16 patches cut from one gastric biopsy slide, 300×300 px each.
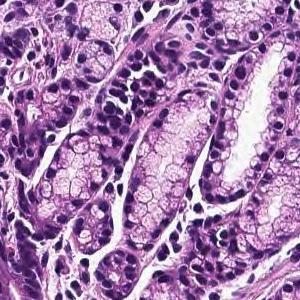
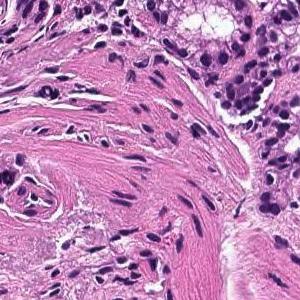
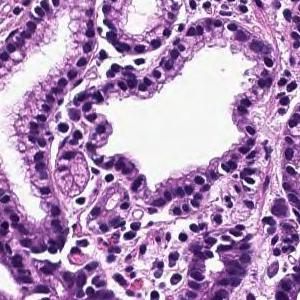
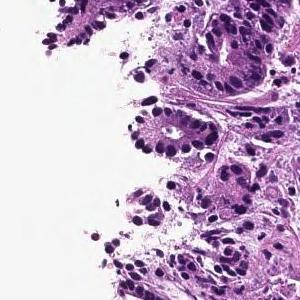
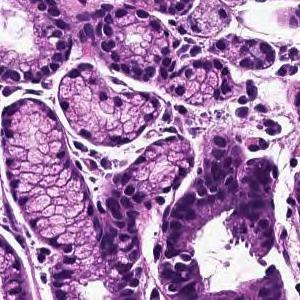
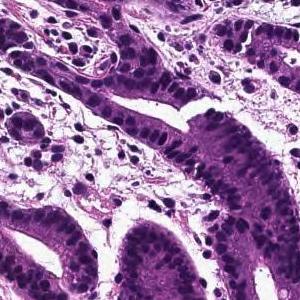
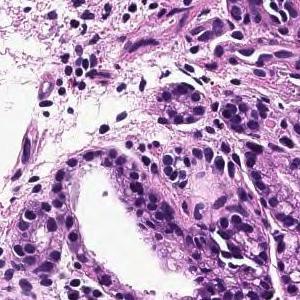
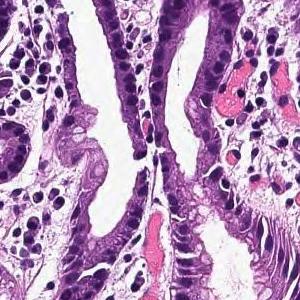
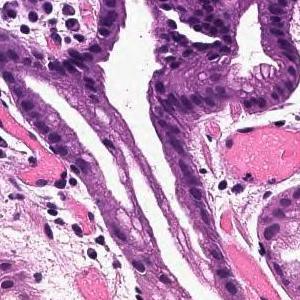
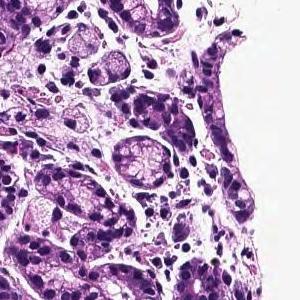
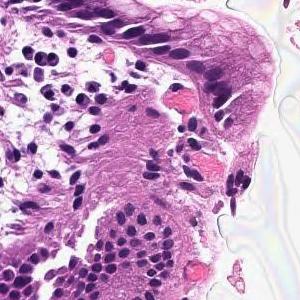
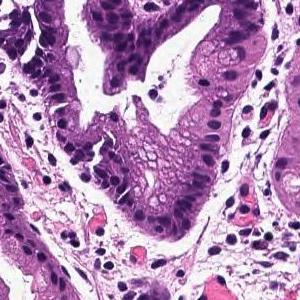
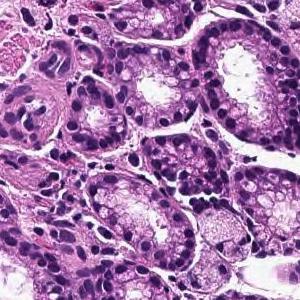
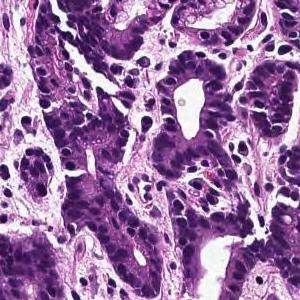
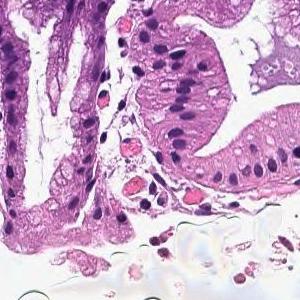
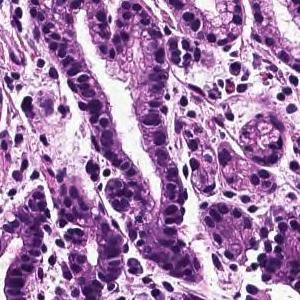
Pathology report for the slide these tiles were cut from. Both the report and the diagnosis are for the whole slide: these tiles need not show every feature named, and some of the tissue shown may not be tumor.
In the superficial epithelium, tumor tissue that invades by forming medium-sized to small, irregular ducts is observed. moderately differentiated tubular adenocarcinoma.
